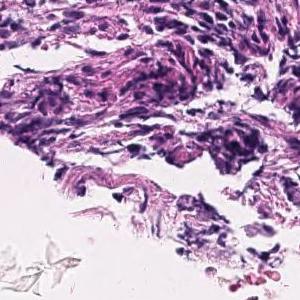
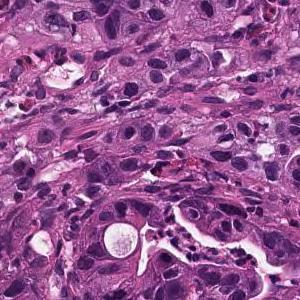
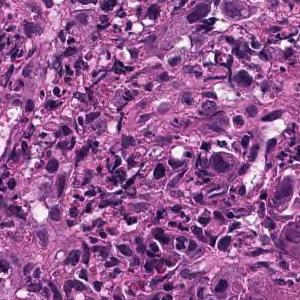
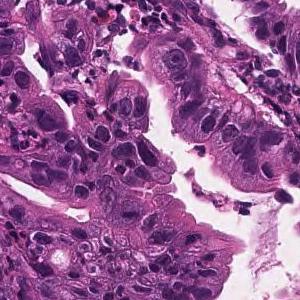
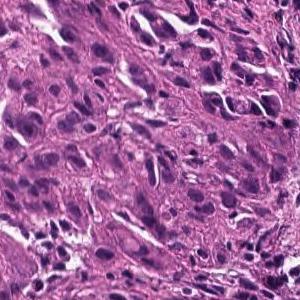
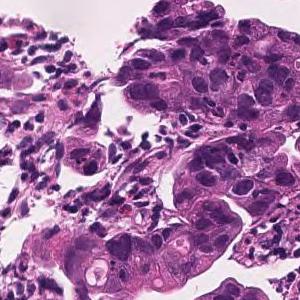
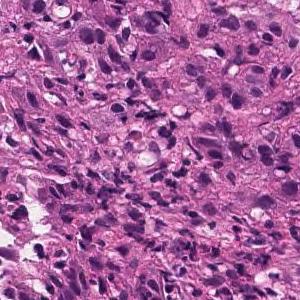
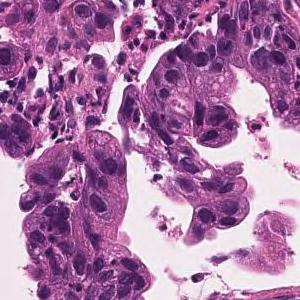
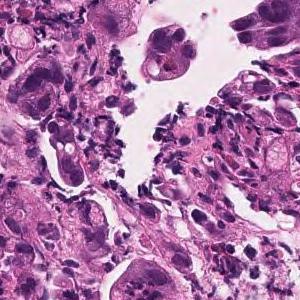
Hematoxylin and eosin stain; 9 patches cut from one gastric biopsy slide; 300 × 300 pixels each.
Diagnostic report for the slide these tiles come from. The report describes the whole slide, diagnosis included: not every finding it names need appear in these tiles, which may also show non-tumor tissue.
Tumor tissue consisting of medium-sized, cord-like or irregular glandular infiltration is observed in the superficial epithelium. Poorly differentiated adenocarcinoma, non-solid type or moderately differentiated tubular adenocarcinoma
The term "non-solid type" comes from the Japanese Classification of Gastric Carcinoma.
